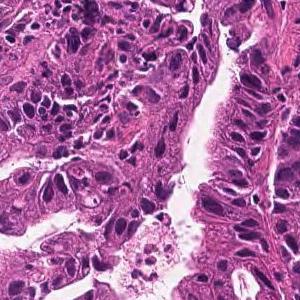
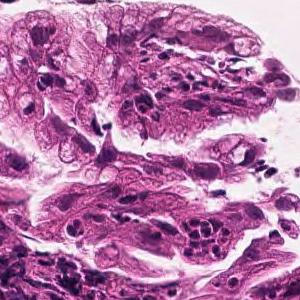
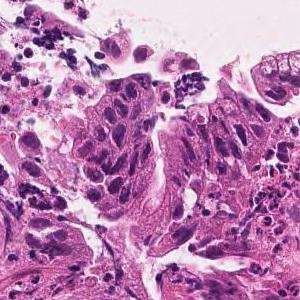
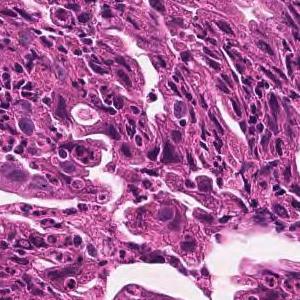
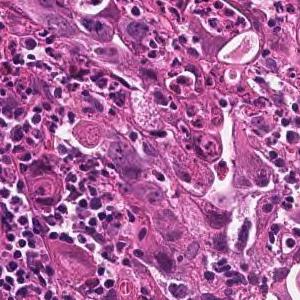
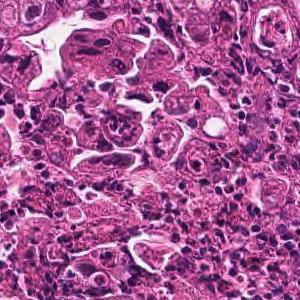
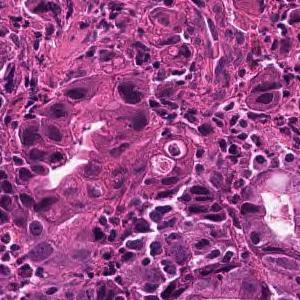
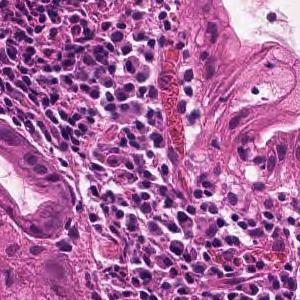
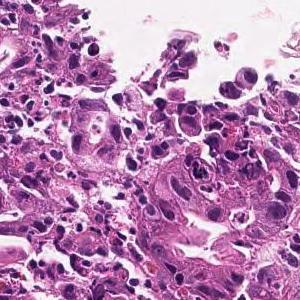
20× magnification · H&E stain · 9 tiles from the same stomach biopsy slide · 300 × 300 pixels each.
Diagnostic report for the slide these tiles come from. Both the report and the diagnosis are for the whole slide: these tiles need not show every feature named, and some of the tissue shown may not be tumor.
Medium to small, irregular glandular ducts are formed in the superficial epithelium, and in some cases, the glandular ducts are fused to show solid alveolar lesions and infiltrating tumor tissue is observed. Moderately to poorly differentiated adenocarcinoma.
